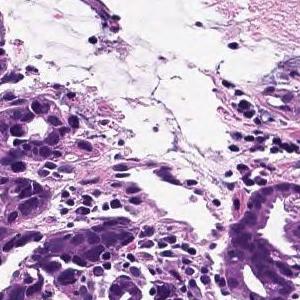
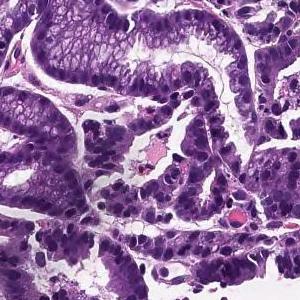
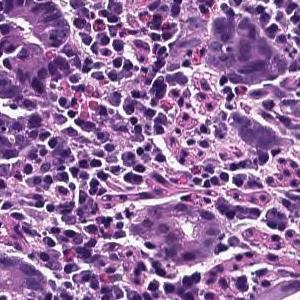
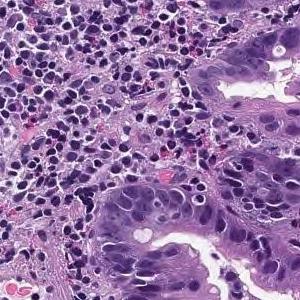
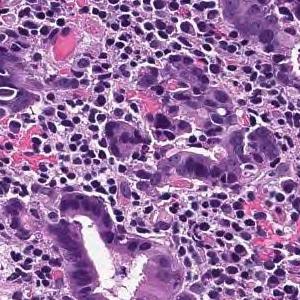
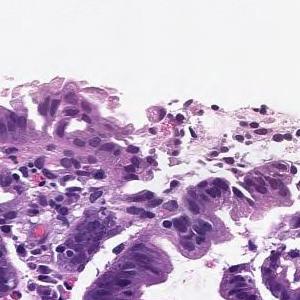
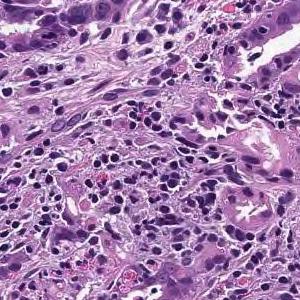
×20 · hematoxylin and eosin stain · 7 tiles cut from one stomach biopsy slide · 300×300 px each.
Report on the slide these tiles come from. Both the report and the diagnosis are for the whole slide: these tiles need not show every feature named, and some of the tissue shown may not be tumor.
In the superficial epithelium, tumor tissue that invades by forming medium-sized to small, irregular ducts is observed. moderately differentiated tubular adenocarcinoma.
